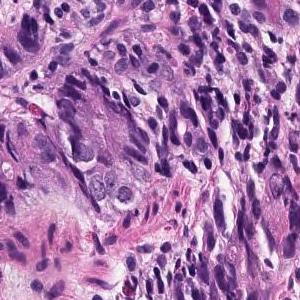
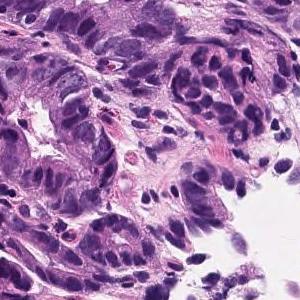
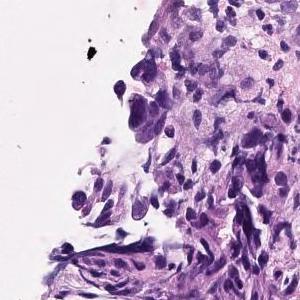
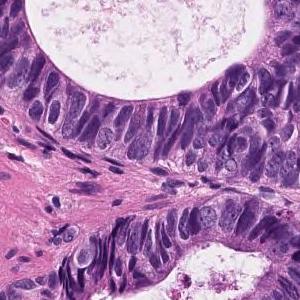
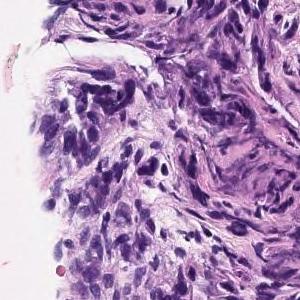
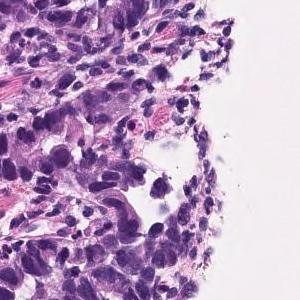
6 patches cut from one gastric biopsy slide · each 300 × 300 pixels.
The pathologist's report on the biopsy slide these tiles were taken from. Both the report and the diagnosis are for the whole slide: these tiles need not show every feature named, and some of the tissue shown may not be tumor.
The swollen atypical epithelium of the nucleus forms an irregular ductal structure and proliferates. moderately differentiated tubular adenocarcinoma
